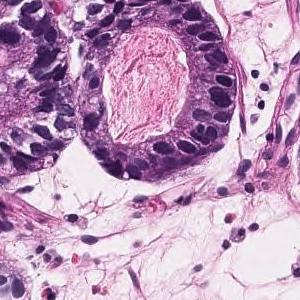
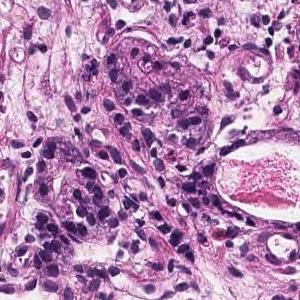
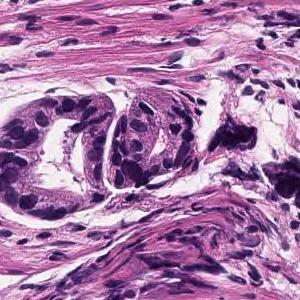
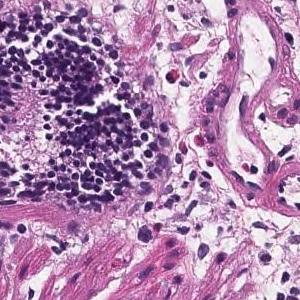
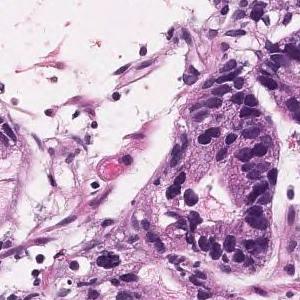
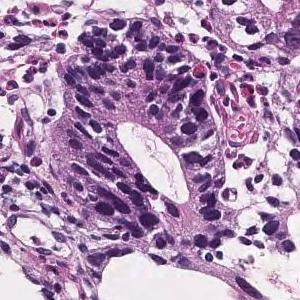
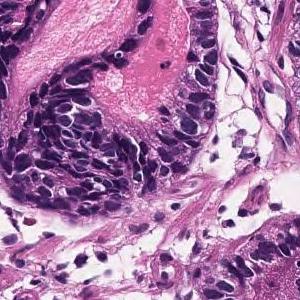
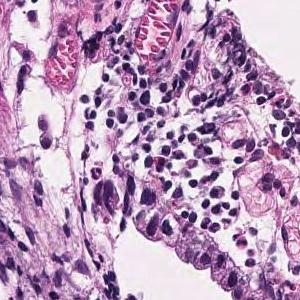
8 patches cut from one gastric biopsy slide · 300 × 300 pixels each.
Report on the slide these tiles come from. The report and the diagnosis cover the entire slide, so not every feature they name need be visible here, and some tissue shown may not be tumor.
Tumor tissue consisting of medium-sized and irregular ducts is observed infiltrating in the superficial epithelium. Tumor cells are highly columnar, with nuclei aligned basolaterally and polarized. Well differentiated tubular adenocarcinoma.
